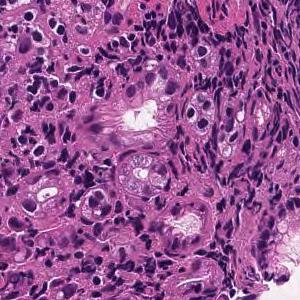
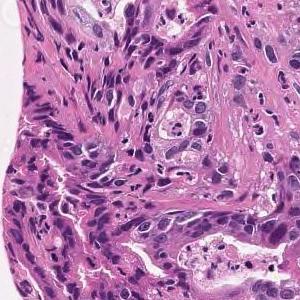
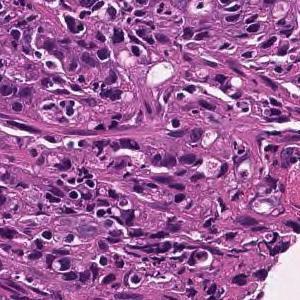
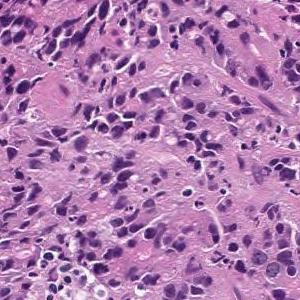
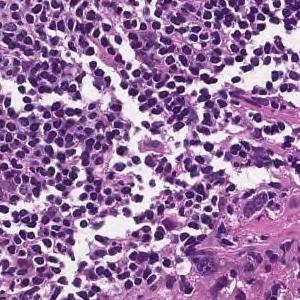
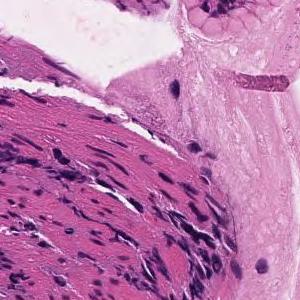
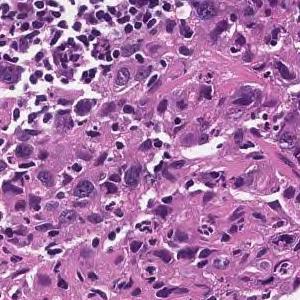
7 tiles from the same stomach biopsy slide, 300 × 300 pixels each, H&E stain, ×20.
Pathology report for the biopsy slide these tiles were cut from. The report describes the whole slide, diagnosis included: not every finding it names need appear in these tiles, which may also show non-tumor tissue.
In the superficial epithelium, tumor tissue that invades by forming medium-sized to small, irregular ducts is observed. moderately differentiated tubular adenocarcinoma.
